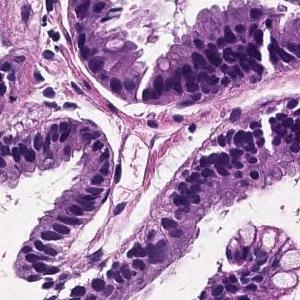
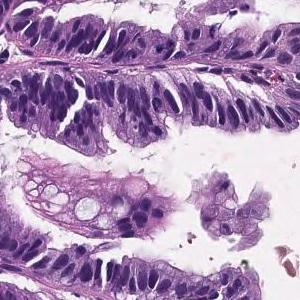
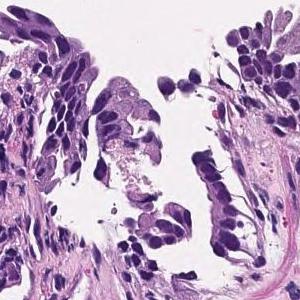
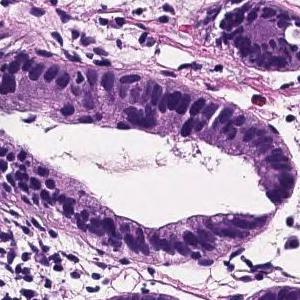
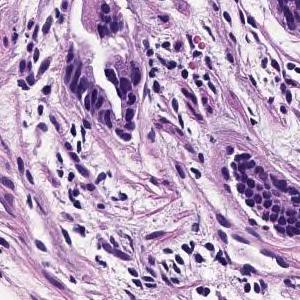
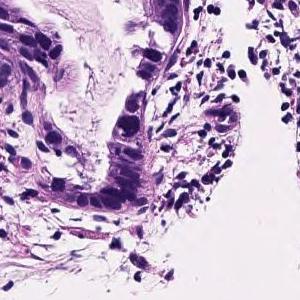
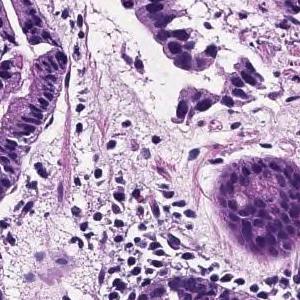
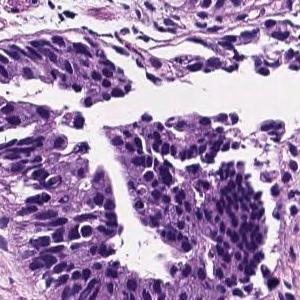
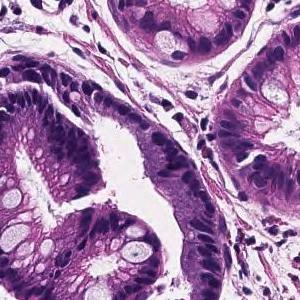
H&E, scanned at ×20, 9 tiles from the same stomach biopsy slide, 300×300 px each.
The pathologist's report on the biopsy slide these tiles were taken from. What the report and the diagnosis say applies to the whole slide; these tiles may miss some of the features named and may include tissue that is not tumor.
Tumor cells are large, highly columnar, large club-shaped nuclei, and are associated with chromatin aggregation. Papillary adenocarcinoma.
